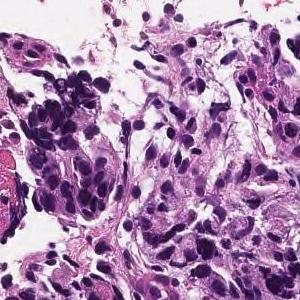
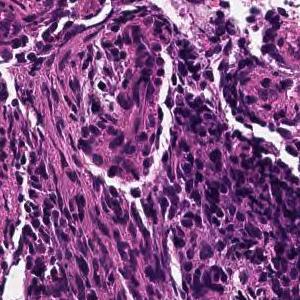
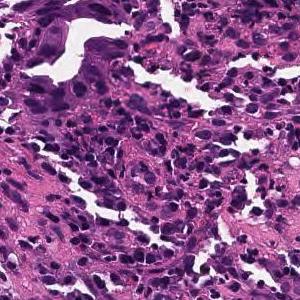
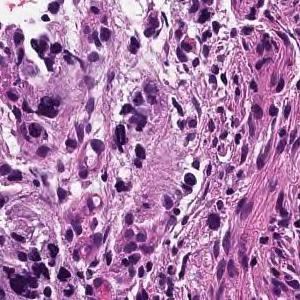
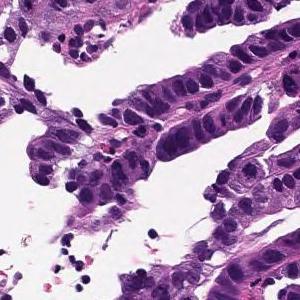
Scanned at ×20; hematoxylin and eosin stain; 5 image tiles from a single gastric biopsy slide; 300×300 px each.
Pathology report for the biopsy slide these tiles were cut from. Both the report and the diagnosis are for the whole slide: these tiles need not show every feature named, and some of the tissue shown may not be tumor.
On the superficial epithelium, tumor tissue consisting of large irregular glandular ducts partially fused and infiltrated is observed. Well to moderately differentiated tubular adenocarcinoma (well differentiated tubular adenocarcinoma, moderately differentiated tubular adenocarcinoma)
Classified as well to moderately differentiated tubular adenocarcinoma.
